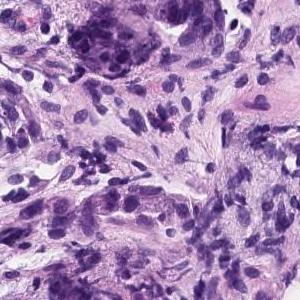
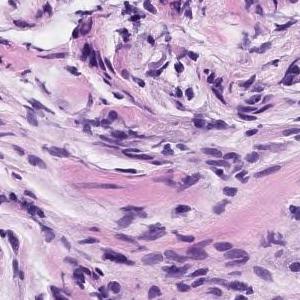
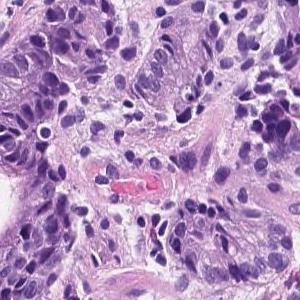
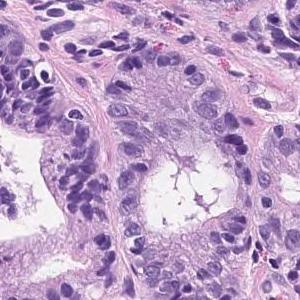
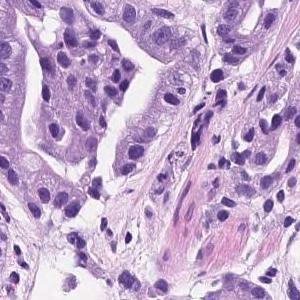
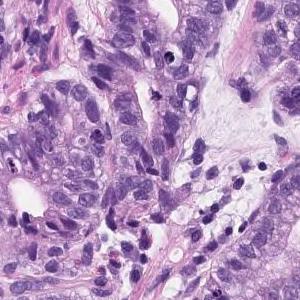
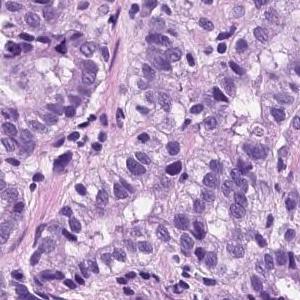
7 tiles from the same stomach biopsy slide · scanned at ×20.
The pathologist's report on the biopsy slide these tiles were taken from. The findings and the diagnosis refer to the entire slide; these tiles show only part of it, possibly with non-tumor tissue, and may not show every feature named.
Tumor tissue consisting of medium-sized and irregular ducts is observed infiltrating in the superficial epithelium. Tumor cells are highly columnar, with nuclei aligned basolaterally and polarized. Well differentiated tubular adenocarcinoma.
